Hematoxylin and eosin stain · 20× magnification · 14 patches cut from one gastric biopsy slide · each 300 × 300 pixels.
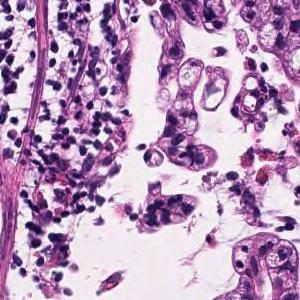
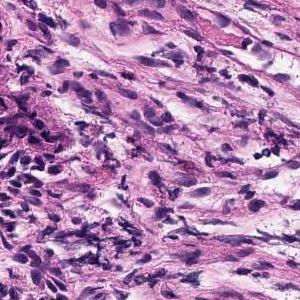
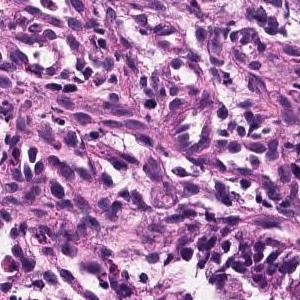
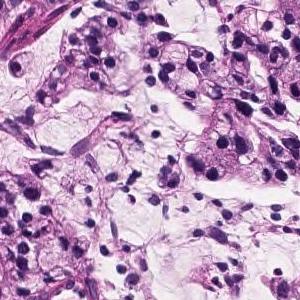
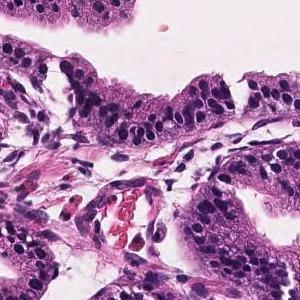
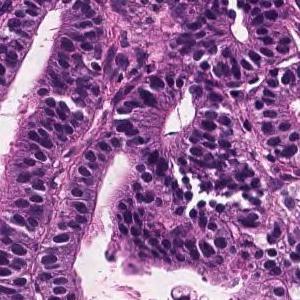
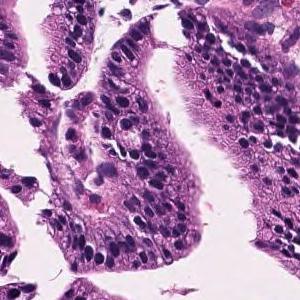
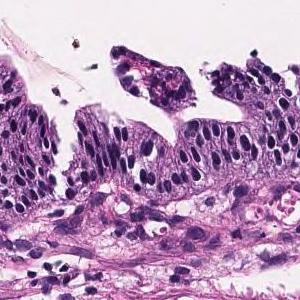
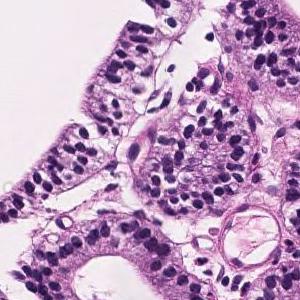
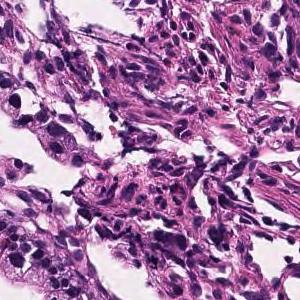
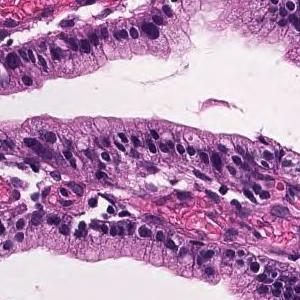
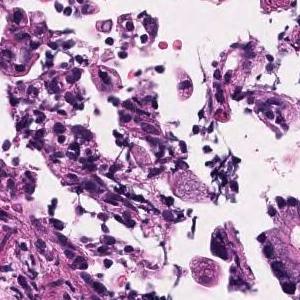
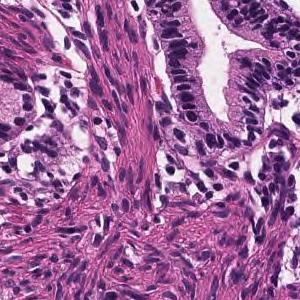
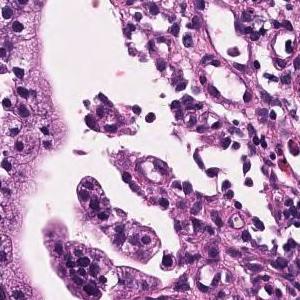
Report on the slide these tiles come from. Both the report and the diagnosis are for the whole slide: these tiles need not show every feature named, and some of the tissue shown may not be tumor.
Tumor tissue consisting of large papillary structures or irregular glandular ducts partially fused and infiltrated is observed in the superficial epithelium. Well to moderately differentiated tubular adenocarcinoma.
Labeled in the dataset as moderately differentiated tubular adenocarcinoma.
